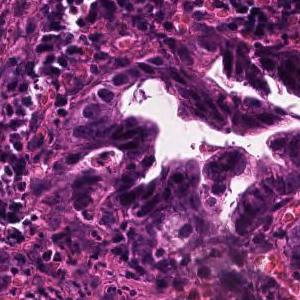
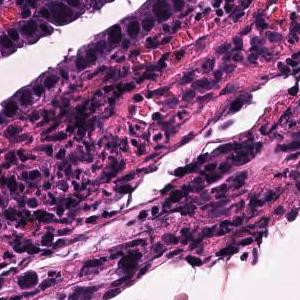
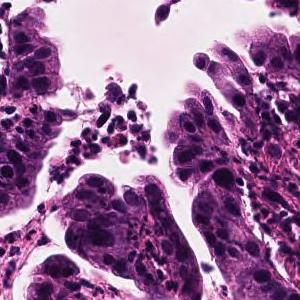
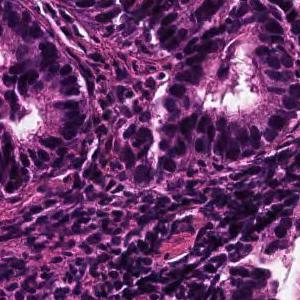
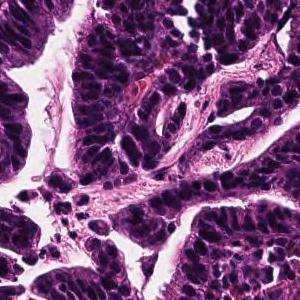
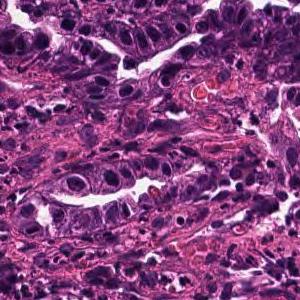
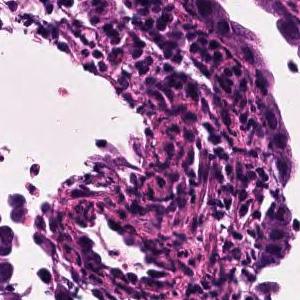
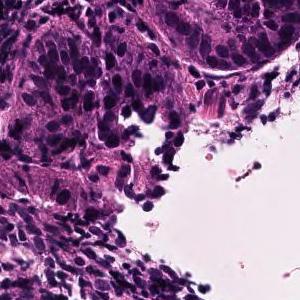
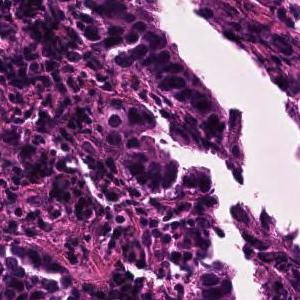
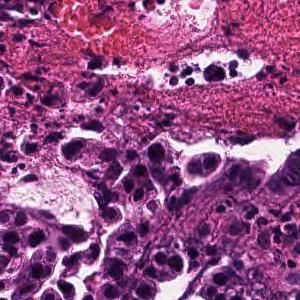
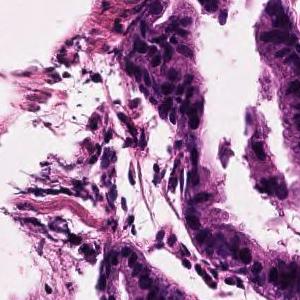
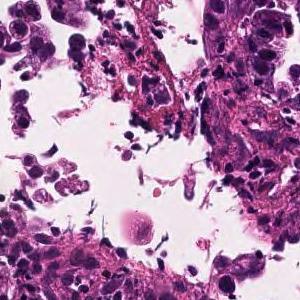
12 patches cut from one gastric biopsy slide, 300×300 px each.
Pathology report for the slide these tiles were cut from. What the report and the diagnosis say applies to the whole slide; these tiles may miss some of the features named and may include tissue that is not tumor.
Tumor tissue consisting of large papillary structures is found in the superficial epithelium. Papillary adenocarcinoma.
